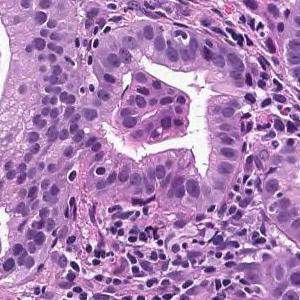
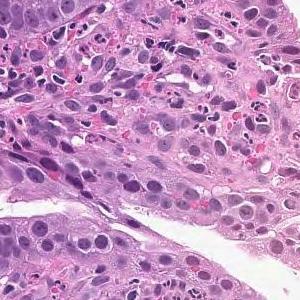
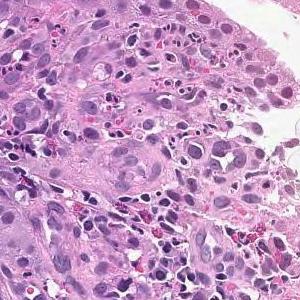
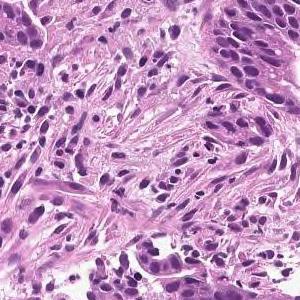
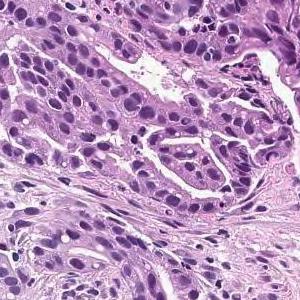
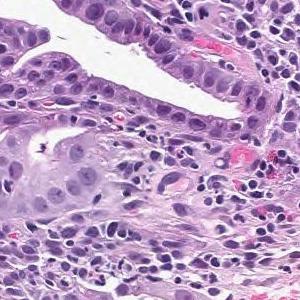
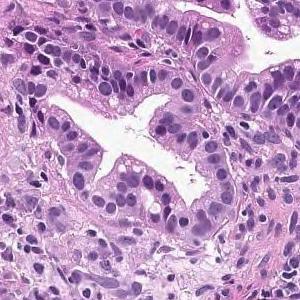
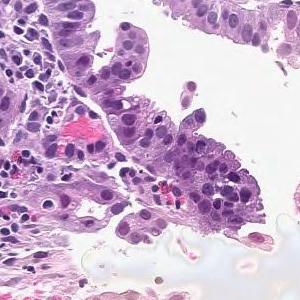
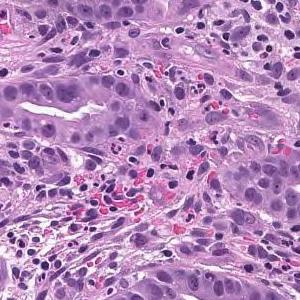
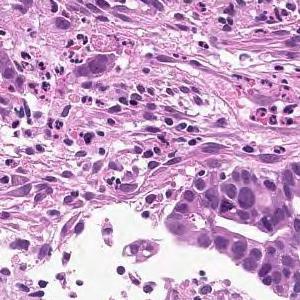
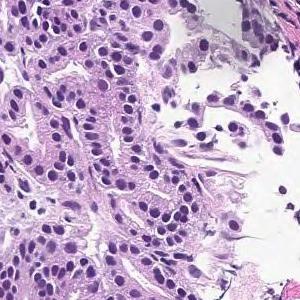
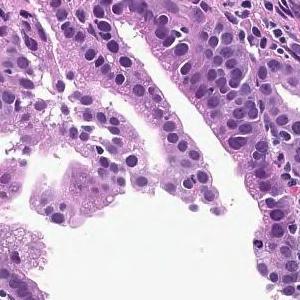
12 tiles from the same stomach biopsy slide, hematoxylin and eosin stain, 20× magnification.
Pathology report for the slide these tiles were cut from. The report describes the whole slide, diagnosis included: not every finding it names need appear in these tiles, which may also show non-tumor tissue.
On the superficial epithelium, tumor tissue that infiltrates by forming medium-sized papillary or small irregular ducts is observed. Papillary adenocarcinoma
